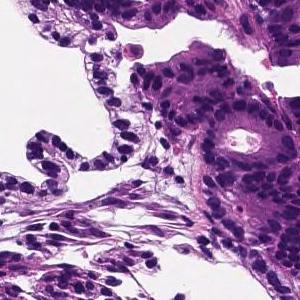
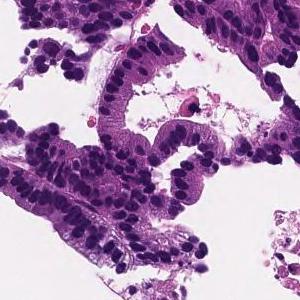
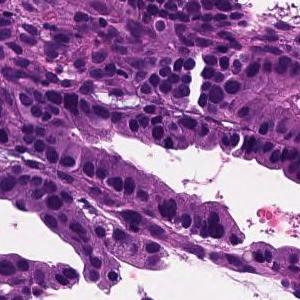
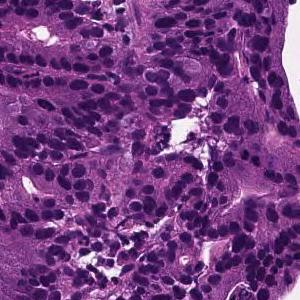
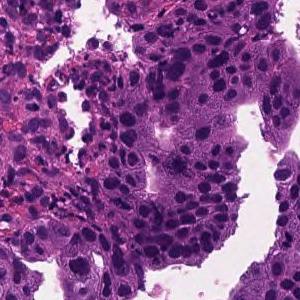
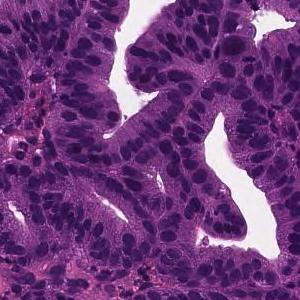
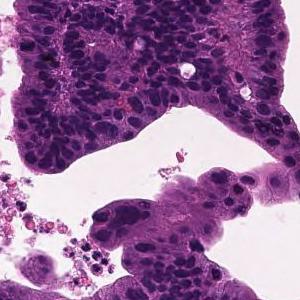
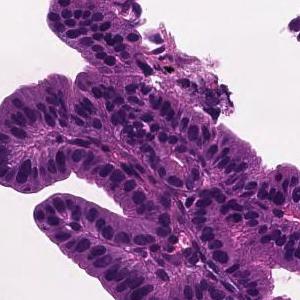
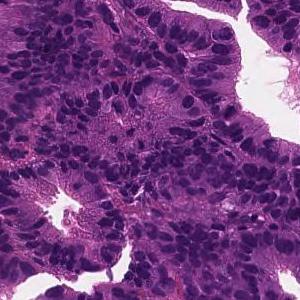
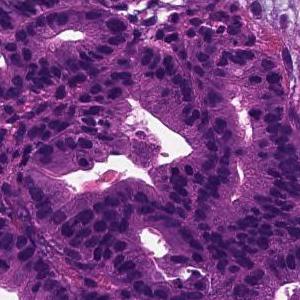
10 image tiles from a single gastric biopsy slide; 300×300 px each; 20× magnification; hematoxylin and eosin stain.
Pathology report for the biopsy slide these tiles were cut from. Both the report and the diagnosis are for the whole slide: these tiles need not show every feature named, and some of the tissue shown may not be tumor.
Tumor cells are large, highly columnar, large club-shaped nuclei, and are associated with chromatin aggregation. Papillary adenocarcinoma.
